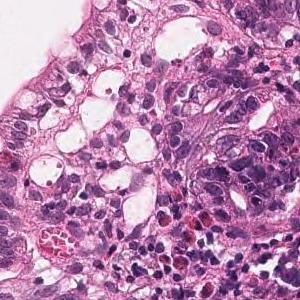
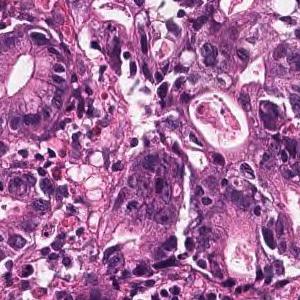
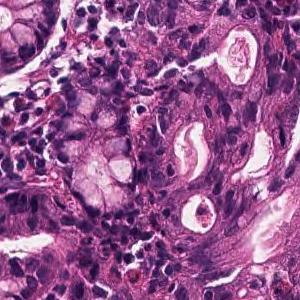
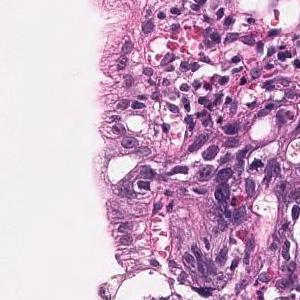
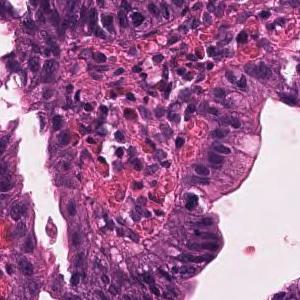
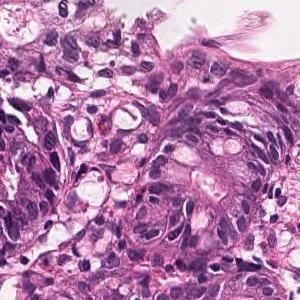
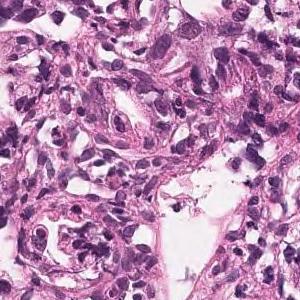
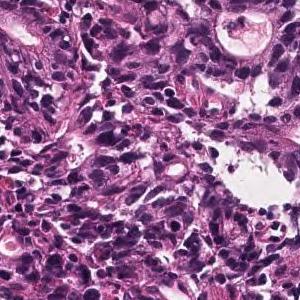
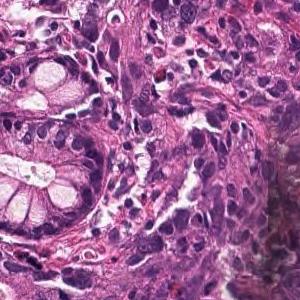
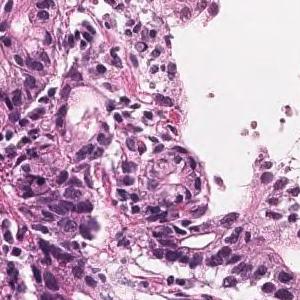
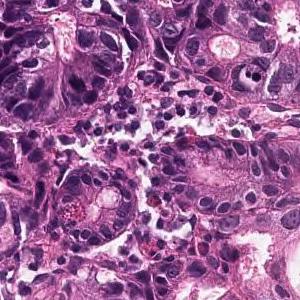
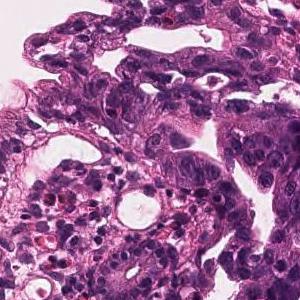
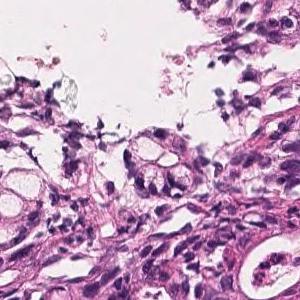
13 tiles from the same stomach biopsy slide · 300×300 px each · 20× magnification · hematoxylin and eosin stain.
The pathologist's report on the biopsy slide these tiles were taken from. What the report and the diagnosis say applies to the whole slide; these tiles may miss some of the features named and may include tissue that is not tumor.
On the superficial epithelium, tumor tissue consisting of large, irregular glandular ducts partially fused and infiltrated is observed. Well to moderately differentiated tubular adenocarcinoma (well differentiated tubular adenocarcinoma, moderately differentiated tubular adenocarcinoma)
Subtype: Well to moderately differentiated tubular adenocarcinoma.
